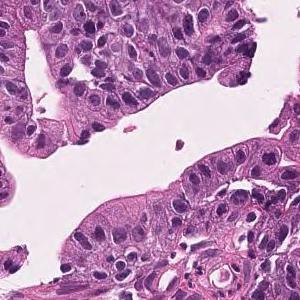
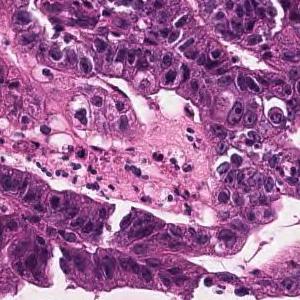
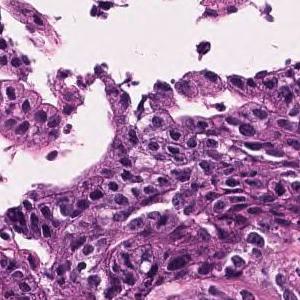
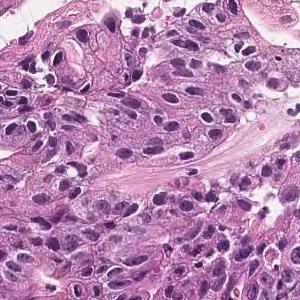
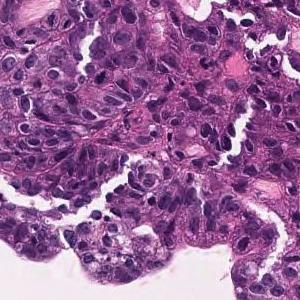
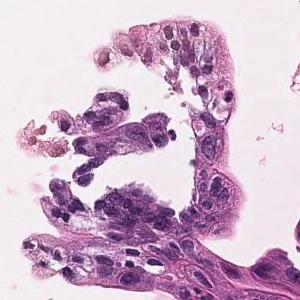
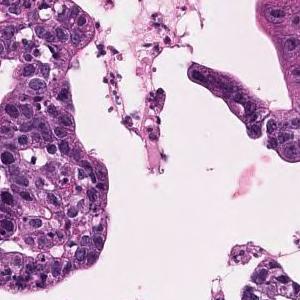
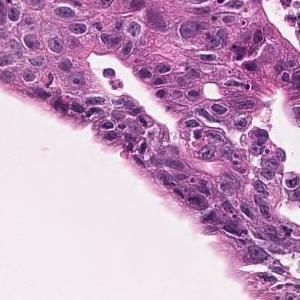
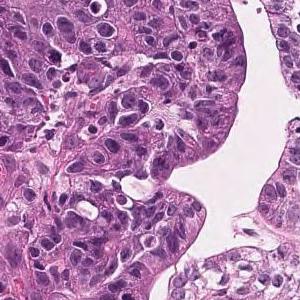
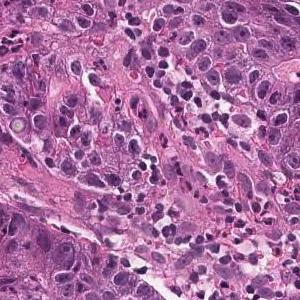
10 image tiles from a single gastric biopsy slide · ×20 · H&E.
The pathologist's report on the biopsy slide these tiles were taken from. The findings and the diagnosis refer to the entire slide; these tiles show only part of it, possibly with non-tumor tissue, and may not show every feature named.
In the superficial epithelium, tumor tissue that invades by forming medium-sized to small, irregular ducts is observed. Well differentiated tubular adenocarcinoma.
